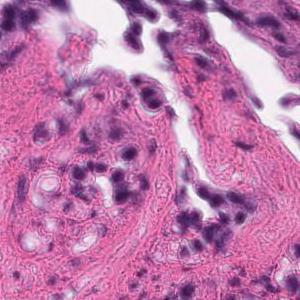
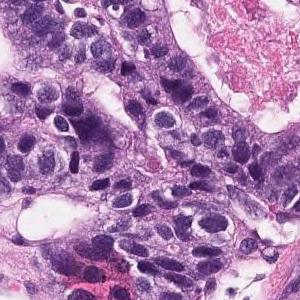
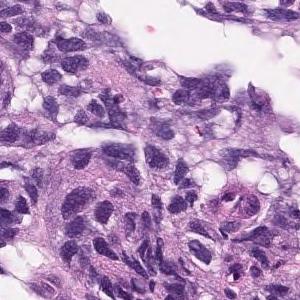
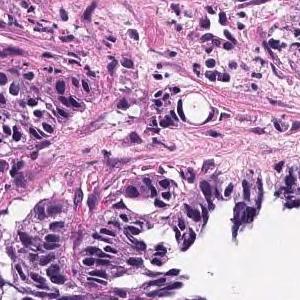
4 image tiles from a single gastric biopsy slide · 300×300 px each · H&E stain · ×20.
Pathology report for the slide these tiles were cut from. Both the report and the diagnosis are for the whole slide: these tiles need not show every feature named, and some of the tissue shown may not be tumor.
Medium to small, irregular glandular ducts are formed in the superficial epithelium, and in some cases, the glandular ducts are fused to show solid alveolar lesions and infiltrating tumor tissue is observed. Moderately to poorly differentiated adenocarcinoma.
